Hematoxylin and eosin stain · 5 patches cut from one gastric biopsy slide · each 300 × 300 pixels.
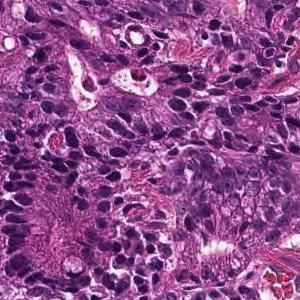
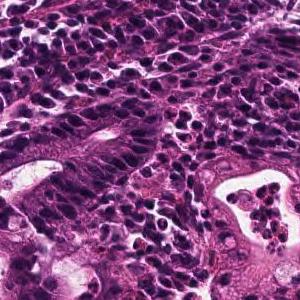
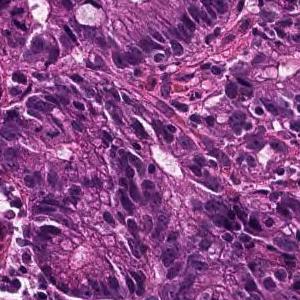
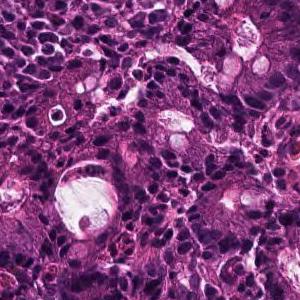
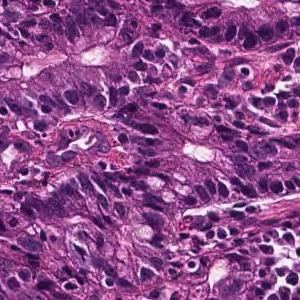
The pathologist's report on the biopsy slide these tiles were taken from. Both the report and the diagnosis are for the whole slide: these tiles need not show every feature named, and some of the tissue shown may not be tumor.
In the superficial epithelium, tumor tissue that invades by forming medium-sized to small, irregular ducts is observed. moderately differentiated tubular adenocarcinoma.
